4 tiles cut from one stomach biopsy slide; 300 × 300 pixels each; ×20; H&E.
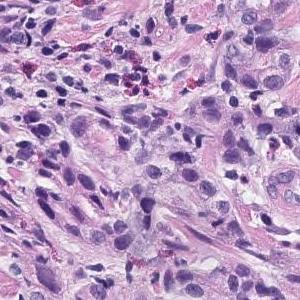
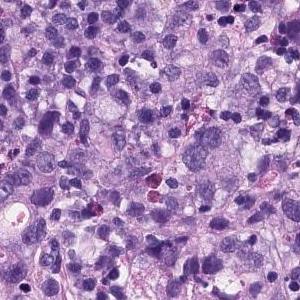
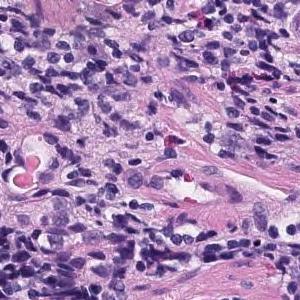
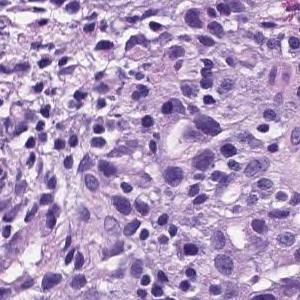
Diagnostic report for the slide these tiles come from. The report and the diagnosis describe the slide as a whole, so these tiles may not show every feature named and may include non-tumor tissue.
There are atypical l cells with atypical nuclei forming cord-like or irregular atypical ducts from solidity and proliferating in a comprehensive manner. Poorly differentiated adenocarcinoma, Moderately differentiated adenocarcinoma (poorly differentiated adenocarcinoma, solid type moderately differentiated tubular adenocarcinoma)
Histological subtype: Moderately to poorly differentiated adenocarcinoma.
The solid type named here is a Japanese Classification of Gastric Carcinoma category; WHO 2019 calls it tubular adenocarcinoma, poorly differentiated.
